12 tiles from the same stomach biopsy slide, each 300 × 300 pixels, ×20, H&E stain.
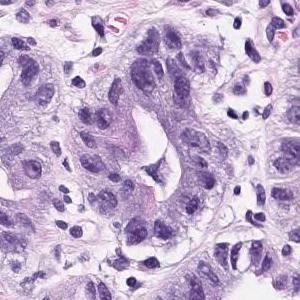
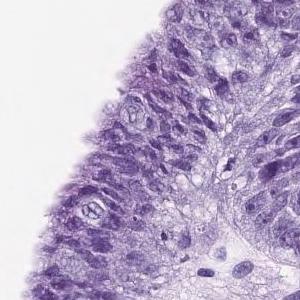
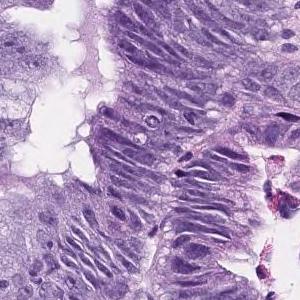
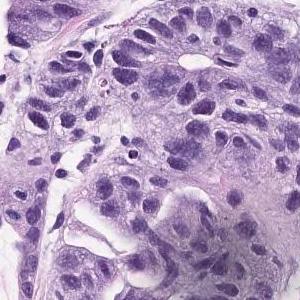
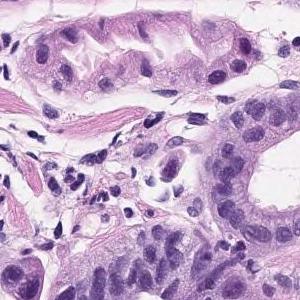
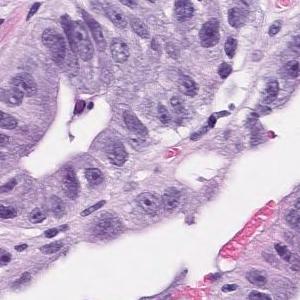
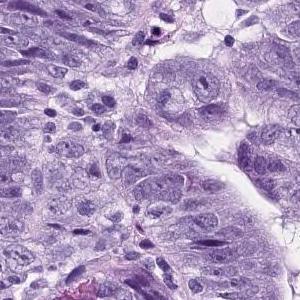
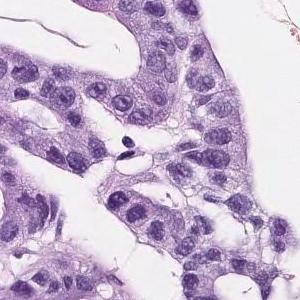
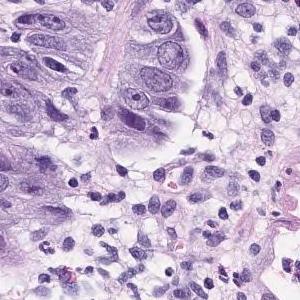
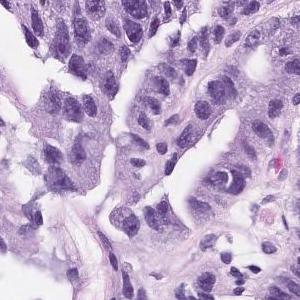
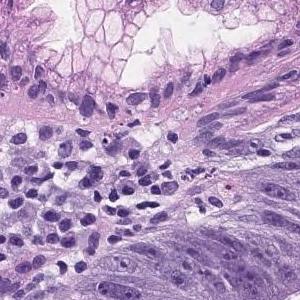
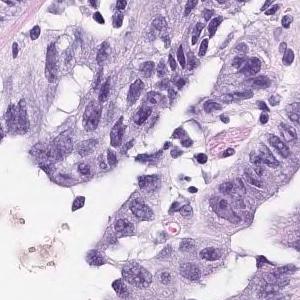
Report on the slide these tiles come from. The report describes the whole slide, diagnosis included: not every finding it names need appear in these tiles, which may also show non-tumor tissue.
In the superficial epithelium, tumor tissue that invades by forming medium-sized to small, irregular ducts is observed. Moderately differentiated adenocarcinoma.
Classified as moderately differentiated tubular adenocarcinoma.
